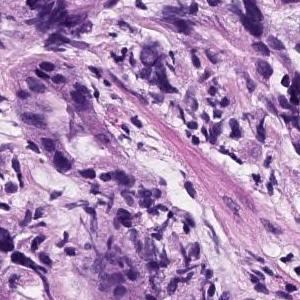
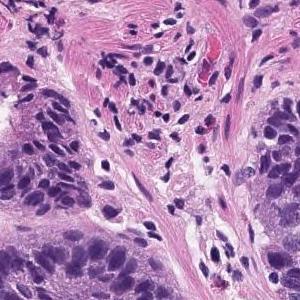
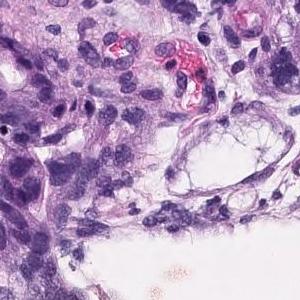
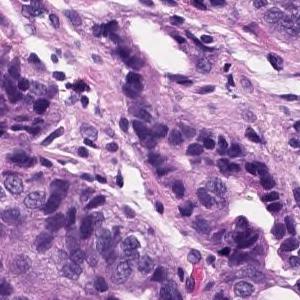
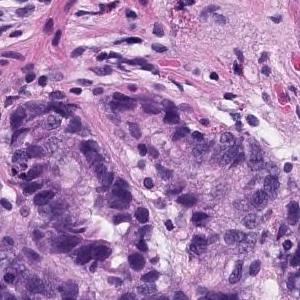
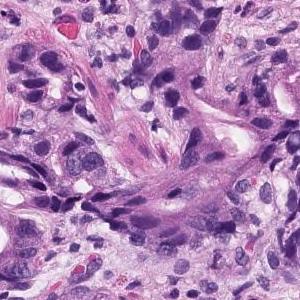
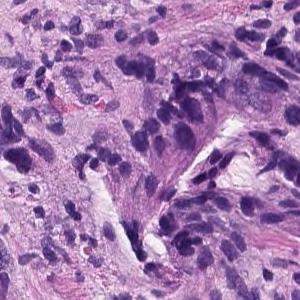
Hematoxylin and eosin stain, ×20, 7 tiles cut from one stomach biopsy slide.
Pathology report for the biopsy slide these tiles were cut from. What the report and the diagnosis say applies to the whole slide; these tiles may miss some of the features named and may include tissue that is not tumor.
In the superficial epithelium, tumor tissue that invades by forming medium-sized to small, irregular ducts is observed. Moderately differentiated adenocarcinoma.
Histologic type: Moderately differentiated tubular adenocarcinoma.
